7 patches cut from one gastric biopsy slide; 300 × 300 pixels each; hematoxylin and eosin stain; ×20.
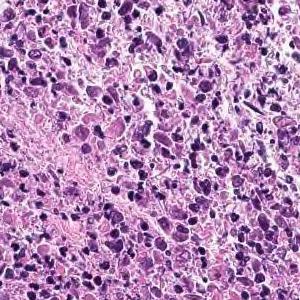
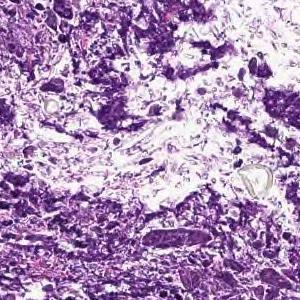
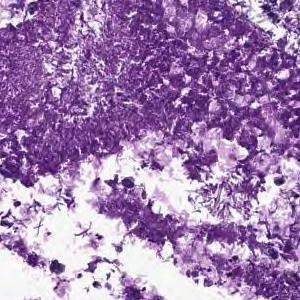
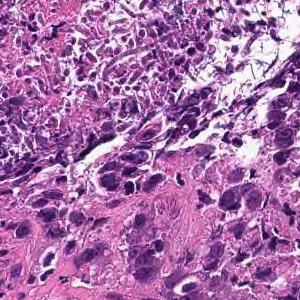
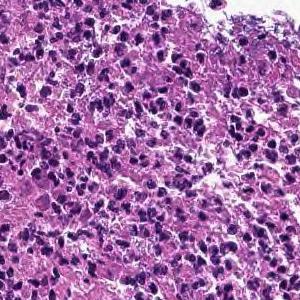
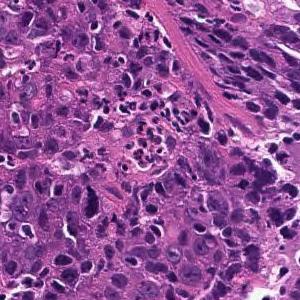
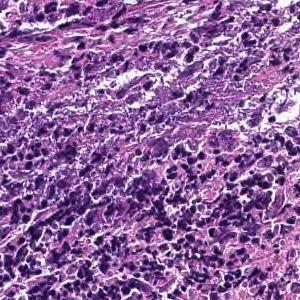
Pathology report for the slide these tiles were cut from. The report and the diagnosis describe the slide as a whole, so these tiles may not show every feature named and may include non-tumor tissue.
Cancers with polygonal nuclei do not show glandular formation and are densely, in part, cord-like and proliferate. Poorly differentiated adenocarcinoma
Subtype: Poorly differentiated adenocarcinoma, non-solid type.
"Non-solid type" is a category of the Japanese Classification of Gastric Carcinoma.
